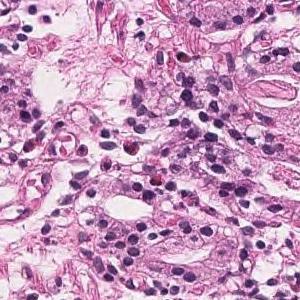
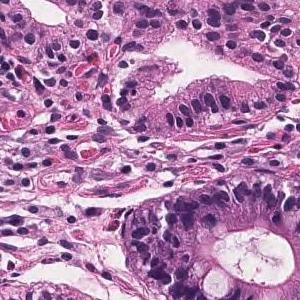
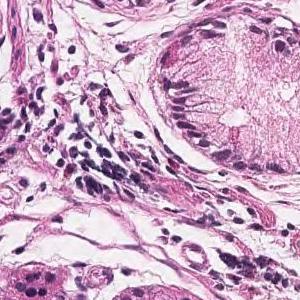
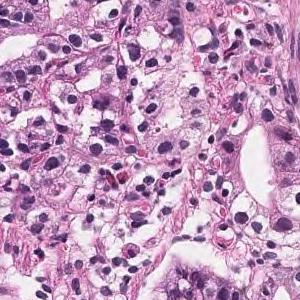
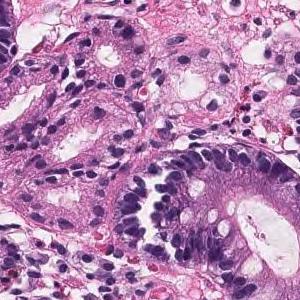
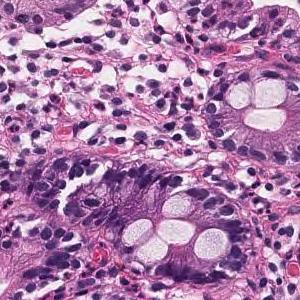
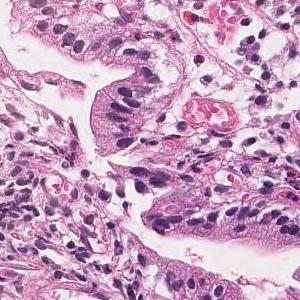
7 tiles from the same stomach biopsy slide, 20× magnification.
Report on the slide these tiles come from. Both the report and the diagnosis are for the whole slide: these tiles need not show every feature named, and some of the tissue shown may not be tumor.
On the superficial epithelium, tumor tissue consisting of large, irregular glandular ducts partially fused and infiltrated is observed. Well differentiated tubular adenocarcinoma
